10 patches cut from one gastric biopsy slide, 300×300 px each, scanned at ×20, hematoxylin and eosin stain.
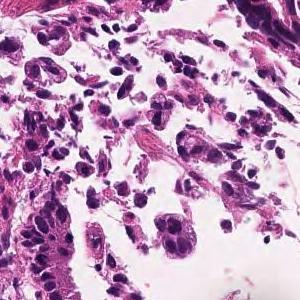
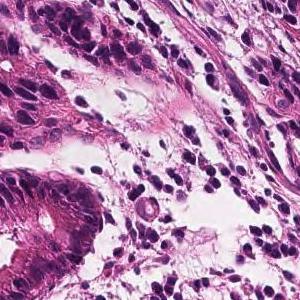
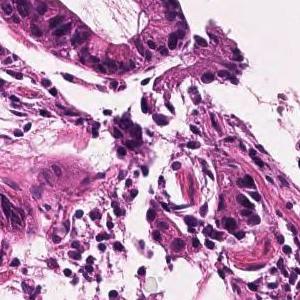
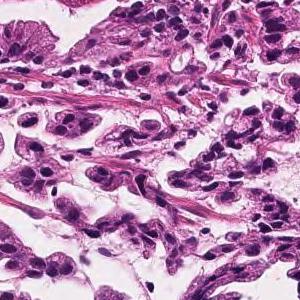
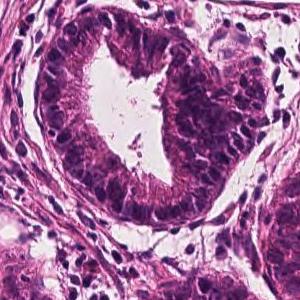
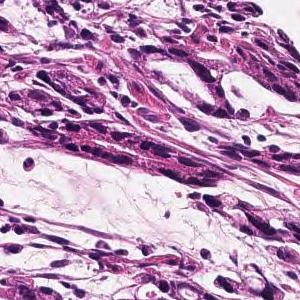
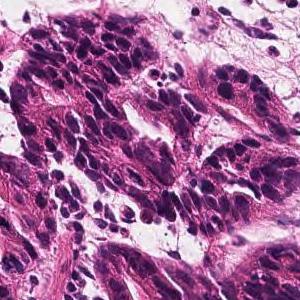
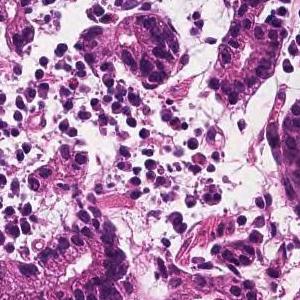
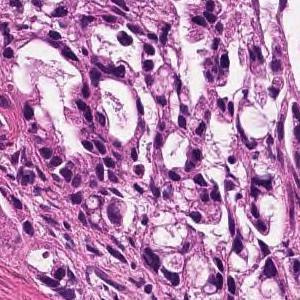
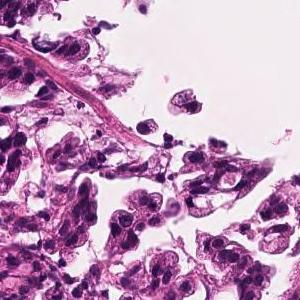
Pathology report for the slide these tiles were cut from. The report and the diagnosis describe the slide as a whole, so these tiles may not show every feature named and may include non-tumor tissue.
In the superficial epithelium, tumor tissue that invades by forming medium-sized to small, irregular ducts is observed. moderately differentiated tubular adenocarcinoma.
